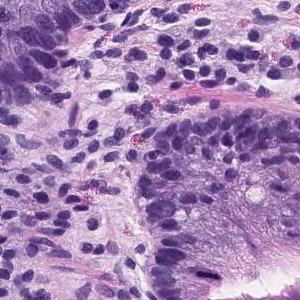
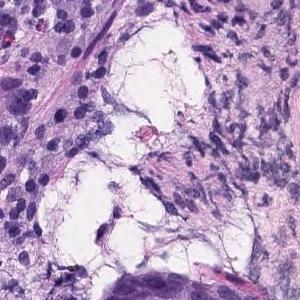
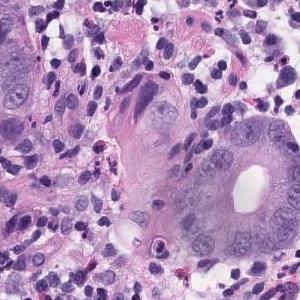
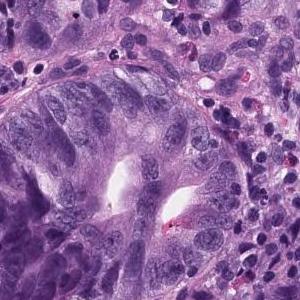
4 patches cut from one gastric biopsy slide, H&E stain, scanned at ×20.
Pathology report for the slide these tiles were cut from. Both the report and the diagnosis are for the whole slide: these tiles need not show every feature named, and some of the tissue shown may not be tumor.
Tumor tissue consisting of medium-sized and irregular ducts is observed infiltrating in the superficial epithelium. Tumor cells are highly columnar, with nuclei aligned basolaterally and polarized. Well differentiated tubular adenocarcinoma.
